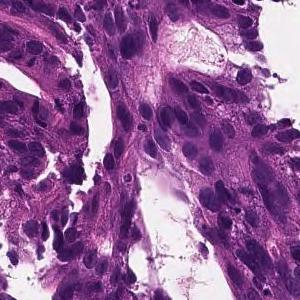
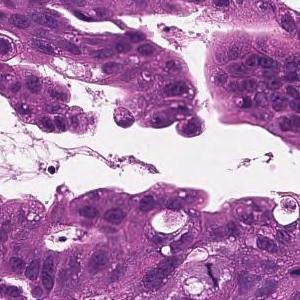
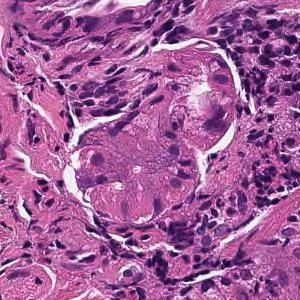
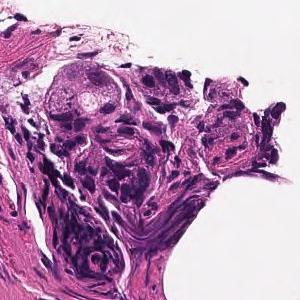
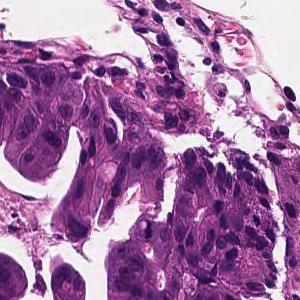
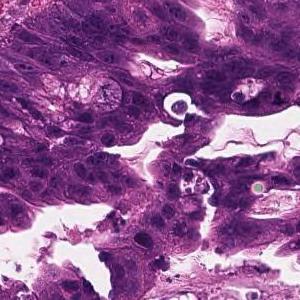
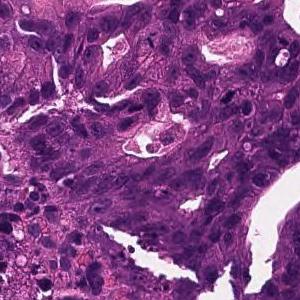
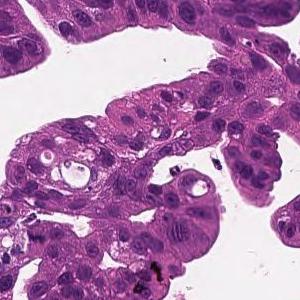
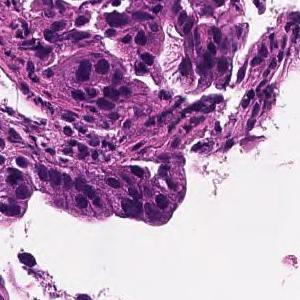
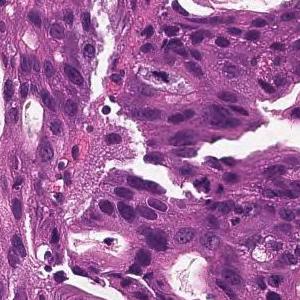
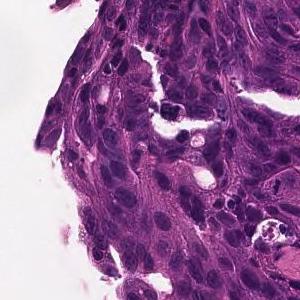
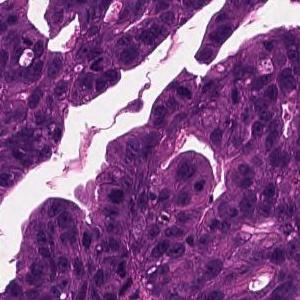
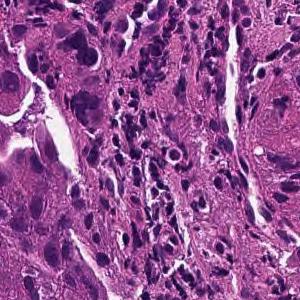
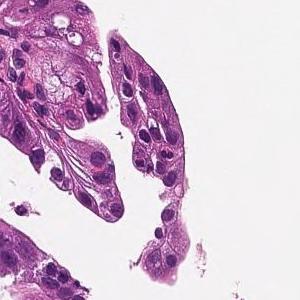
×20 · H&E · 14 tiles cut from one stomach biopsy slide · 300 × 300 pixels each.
Pathology report for the biopsy slide these tiles were cut from. The report describes the whole slide, diagnosis included: not every finding it names need appear in these tiles, which may also show non-tumor tissue.
On the superficial epithelium, tumor tissue is found in which medium-sized irregular gland ducts fuse with each other and infiltrate. moderately differentiated tubular adenocarcinoma
